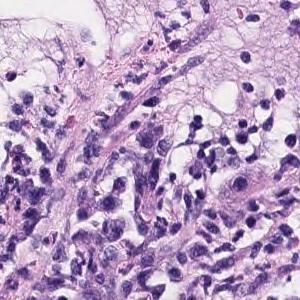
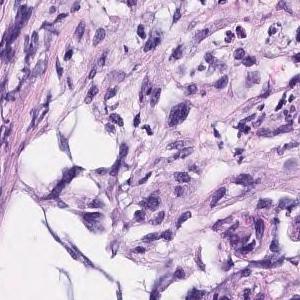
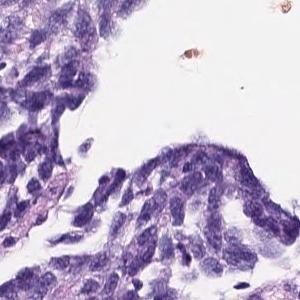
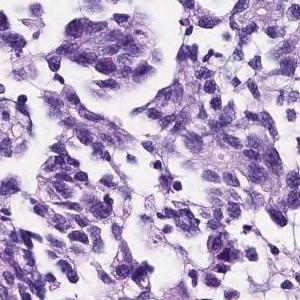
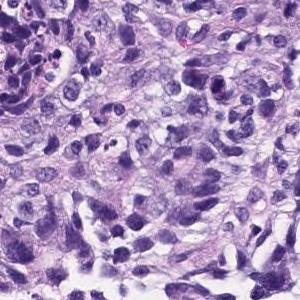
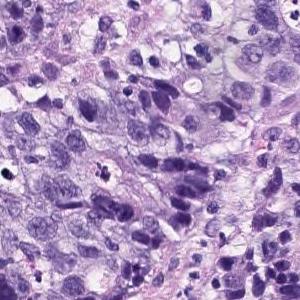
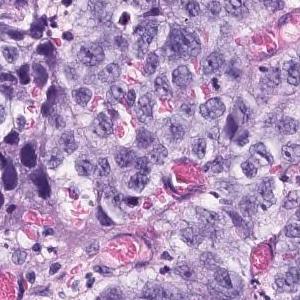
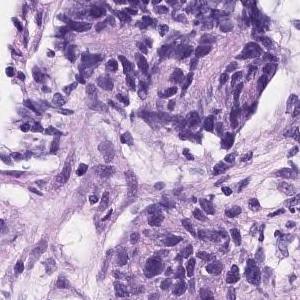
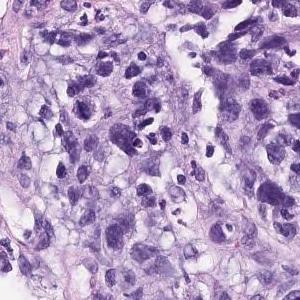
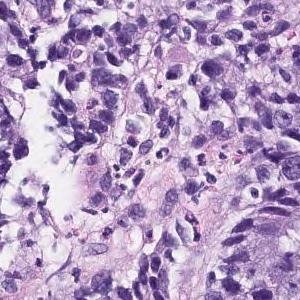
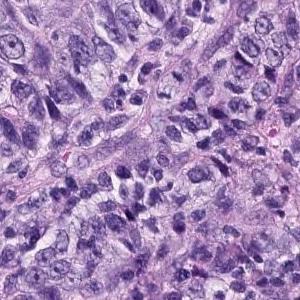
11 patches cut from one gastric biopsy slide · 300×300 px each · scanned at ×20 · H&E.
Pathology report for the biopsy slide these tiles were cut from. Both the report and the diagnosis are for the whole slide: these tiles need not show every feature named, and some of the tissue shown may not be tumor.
The superficial epithelium shows a large sheet-like shape, and some tumor tissue infiltrates with small irregular ducts. Poorly differentiated adenocarcinoma, solid-type
Histologic type: Poorly differentiated adenocarcinoma, solid type. This name comes from the Japanese Classification of Gastric Carcinoma; the WHO 2019 classification calls it tubular adenocarcinoma, poorly differentiated.
